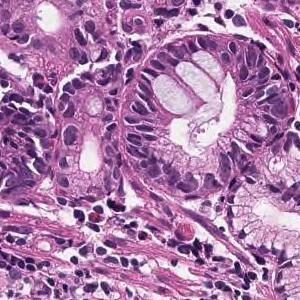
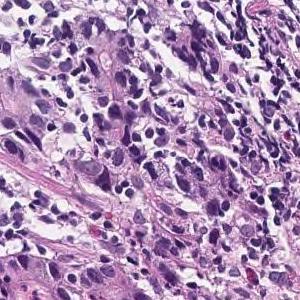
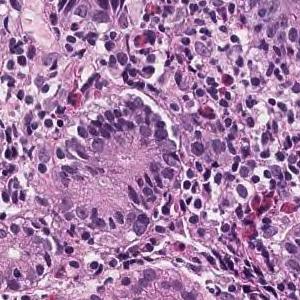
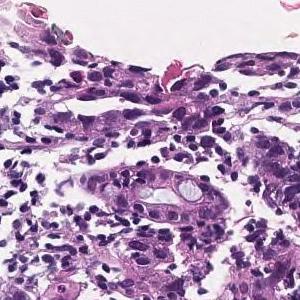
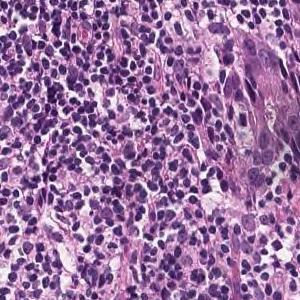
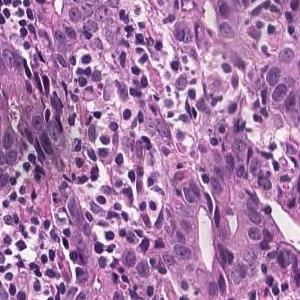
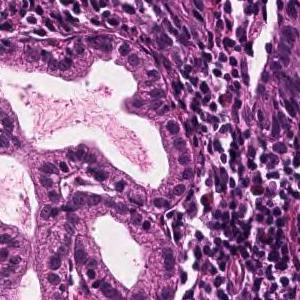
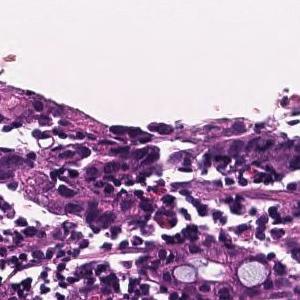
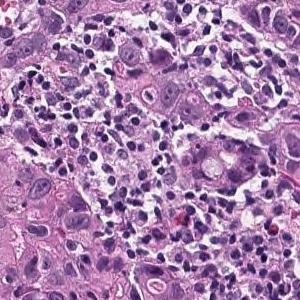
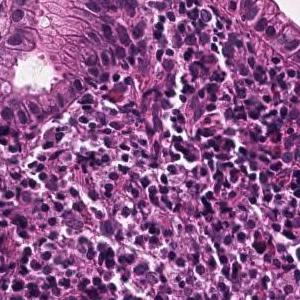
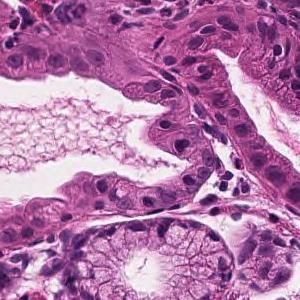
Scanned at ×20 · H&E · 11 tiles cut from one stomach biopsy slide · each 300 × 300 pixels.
Diagnostic report for the slide these tiles come from. Both the report and the diagnosis are for the whole slide: these tiles need not show every feature named, and some of the tissue shown may not be tumor.
Tumor tissue consisting of medium-sized, cord-like or irregular glandular infiltration is observed in the superficial epithelium. Poorly differentiated adenocarcinoma, non-solid type or moderately differentiated tubular adenocarcinoma
Histological subtype: Moderately to poorly differentiated adenocarcinoma.
The term "non-solid type" comes from the Japanese Classification of Gastric Carcinoma.
